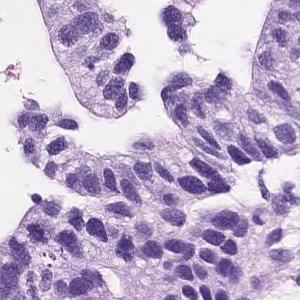
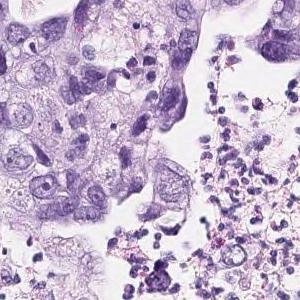
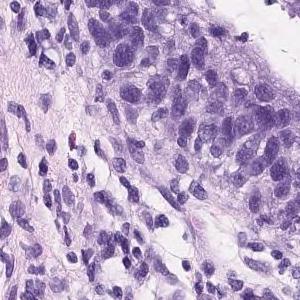
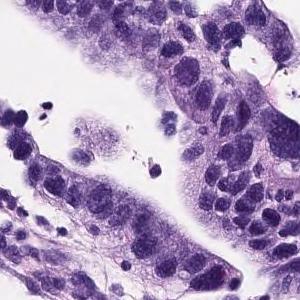
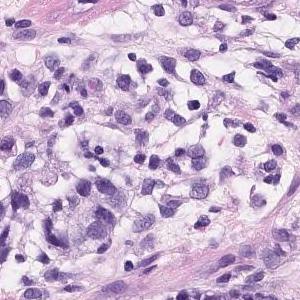
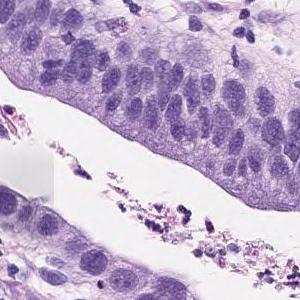
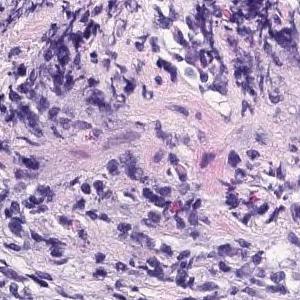
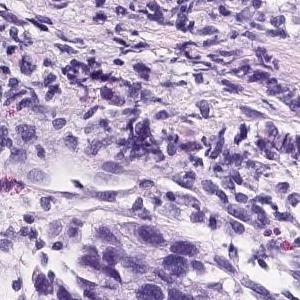
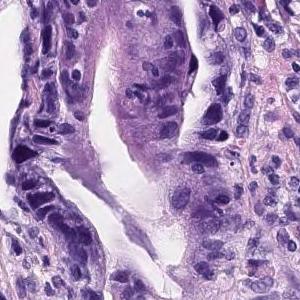
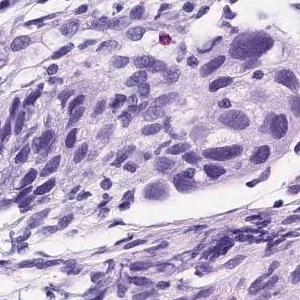
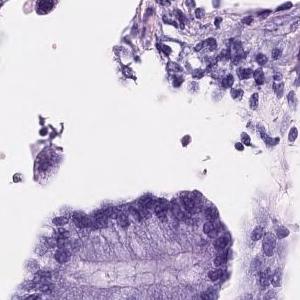
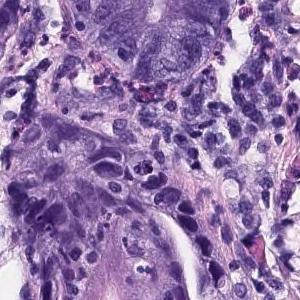
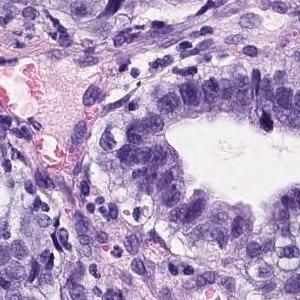
Hematoxylin and eosin stain; 13 patches cut from one gastric biopsy slide.
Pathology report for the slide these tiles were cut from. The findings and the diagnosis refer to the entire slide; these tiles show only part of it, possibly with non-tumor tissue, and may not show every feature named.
On the superficial epithelium, tumor tissue consisting of medium to small irregular tubules partially fused and proliferated is observed. moderately differentiated tubular adenocarcinoma
